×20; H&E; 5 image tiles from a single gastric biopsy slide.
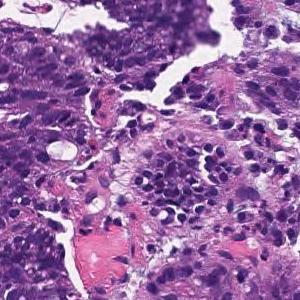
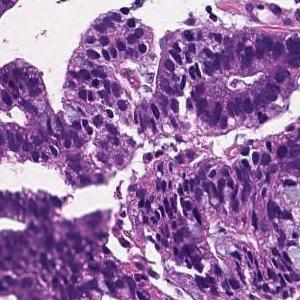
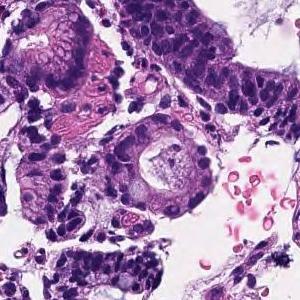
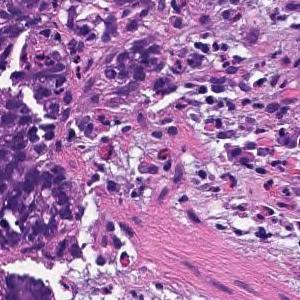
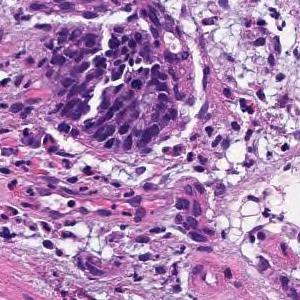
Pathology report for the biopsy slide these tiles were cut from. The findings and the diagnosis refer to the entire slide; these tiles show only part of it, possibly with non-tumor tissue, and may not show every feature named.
Tumor cells are large, highly columnar, large club-shaped nuclei, and are associated with chromatin aggregation. Papillary adenocarcinoma.
